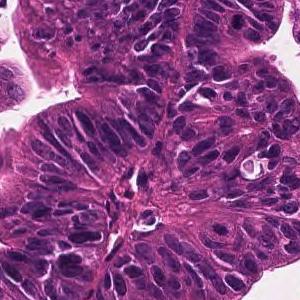
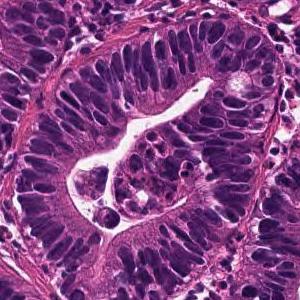
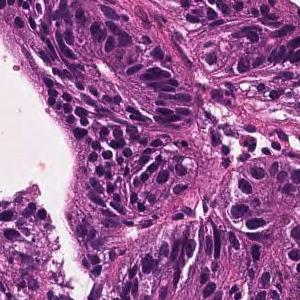
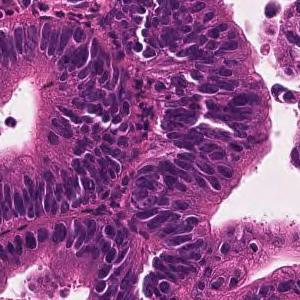
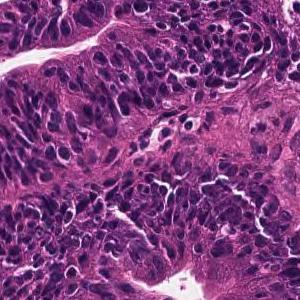
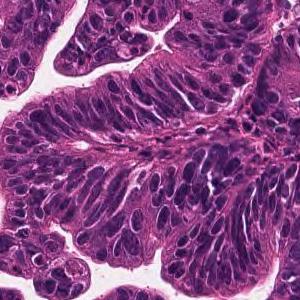
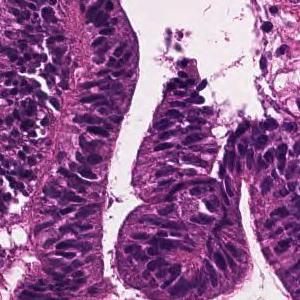
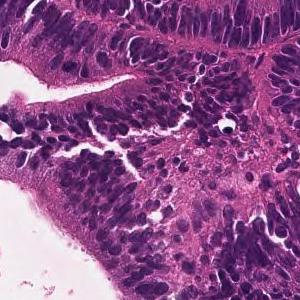
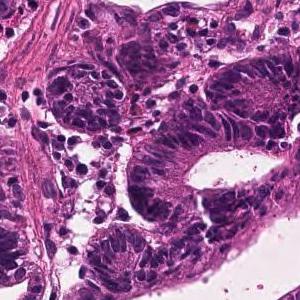
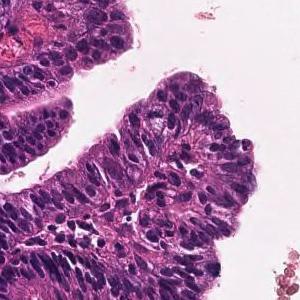
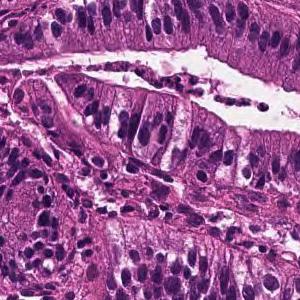
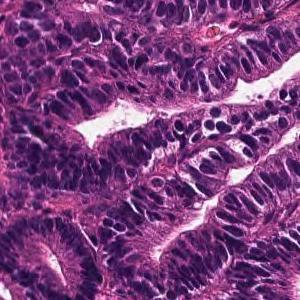
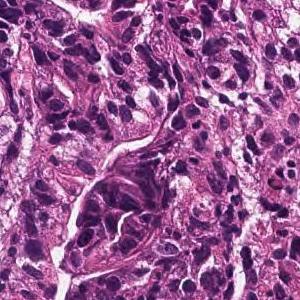
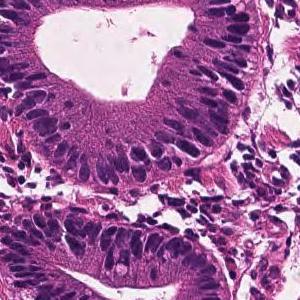
14 tiles cut from one stomach biopsy slide; H&E stain.
Diagnostic report for the slide these tiles come from. The report describes the whole slide, diagnosis included: not every finding it names need appear in these tiles, which may also show non-tumor tissue.
A large irregular tubular structure is exhibited in the epithelium, and tumor tissue that partially fuses and infiltrates and proliferates is observed. Large columnar tumor cells exhibit enlarged nucleus, hyperchromatism, and mitotic figures. Well differentiated tubular adenocarcinoma
